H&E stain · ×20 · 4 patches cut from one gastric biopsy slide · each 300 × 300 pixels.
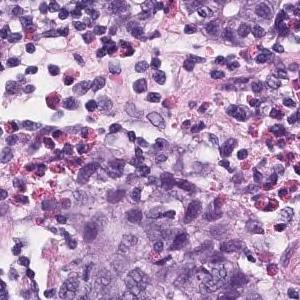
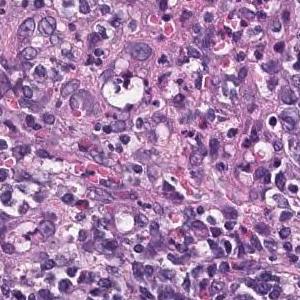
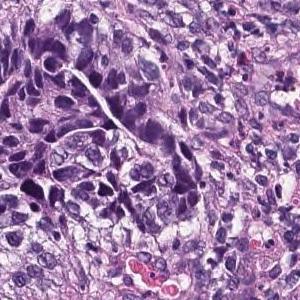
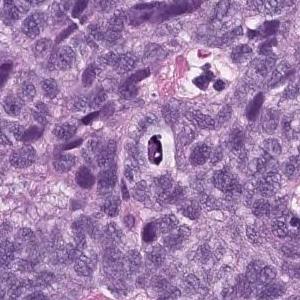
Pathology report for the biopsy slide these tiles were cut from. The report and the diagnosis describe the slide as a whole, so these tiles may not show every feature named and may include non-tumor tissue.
Epithelial cells with swollen nuclei with atypia invasively proliferating while forming vesicles is observed. Poorly differentiated adenocarcinoma
Histologic type: Poorly differentiated adenocarcinoma, solid type, a category of the Japanese Classification of Gastric Carcinoma; in the WHO 2019 classification it is tubular adenocarcinoma, poorly differentiated.
